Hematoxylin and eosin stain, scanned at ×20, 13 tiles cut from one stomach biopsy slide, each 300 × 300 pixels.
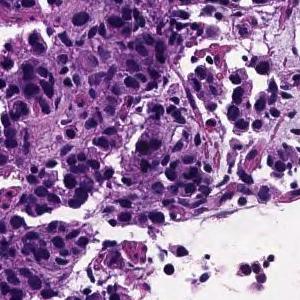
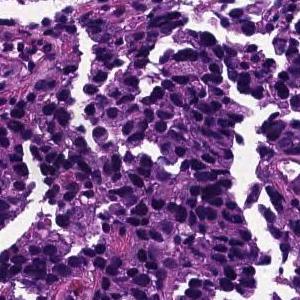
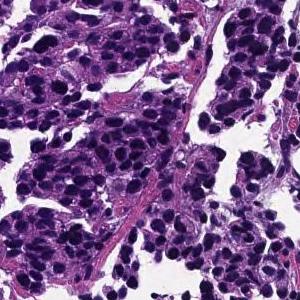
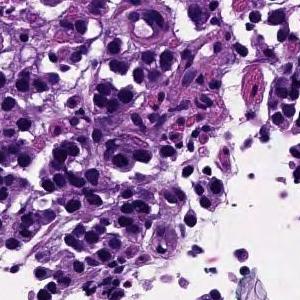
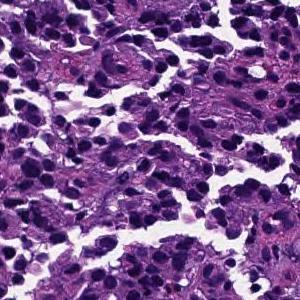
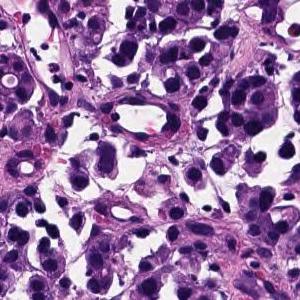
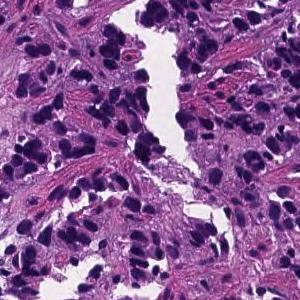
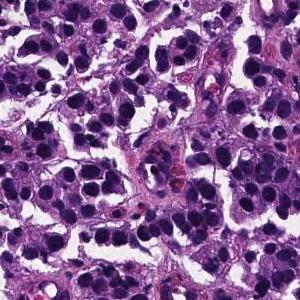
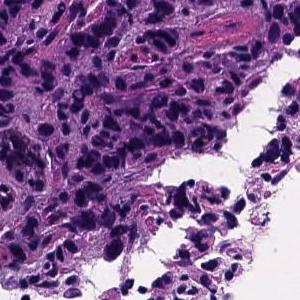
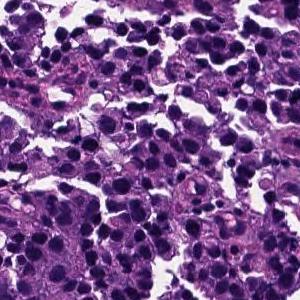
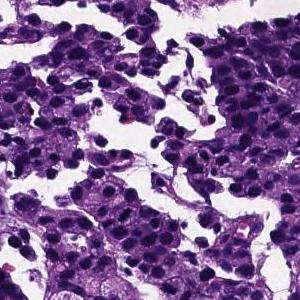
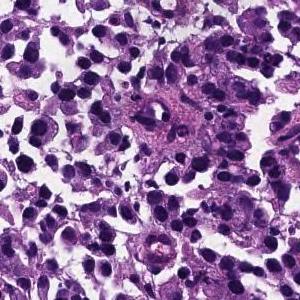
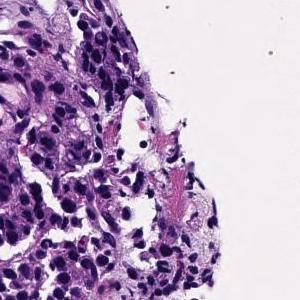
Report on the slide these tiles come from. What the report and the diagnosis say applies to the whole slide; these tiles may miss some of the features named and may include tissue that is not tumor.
The superficial epithelium shows a large alveolar shape and infiltrates tumor tissue. Poorly differentiated adenocarcinoma, solid-type
Subtype: Poorly differentiated adenocarcinoma, solid type. This name comes from the Japanese Classification of Gastric Carcinoma; the WHO 2019 classification calls it tubular adenocarcinoma, poorly differentiated.
